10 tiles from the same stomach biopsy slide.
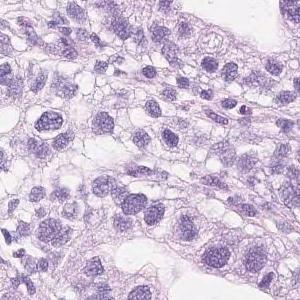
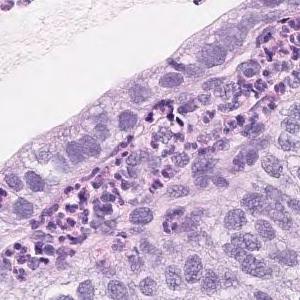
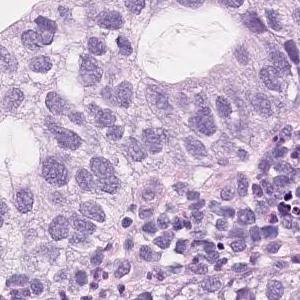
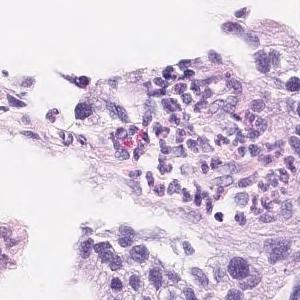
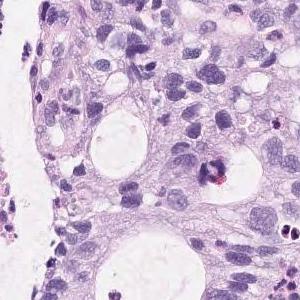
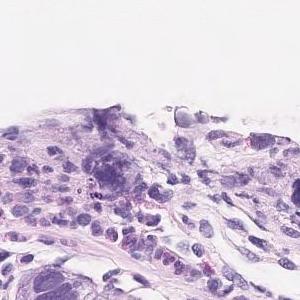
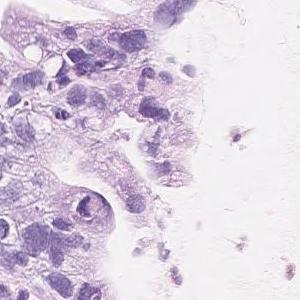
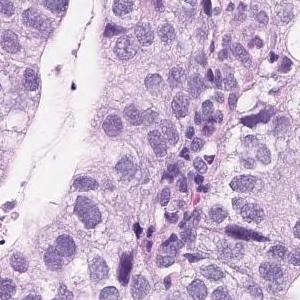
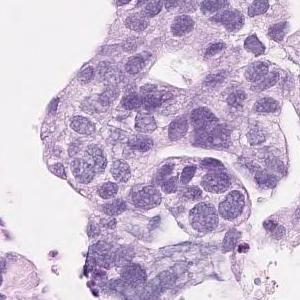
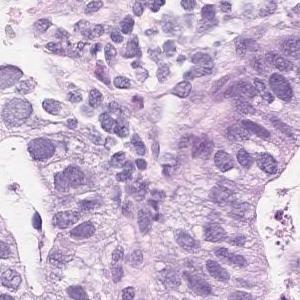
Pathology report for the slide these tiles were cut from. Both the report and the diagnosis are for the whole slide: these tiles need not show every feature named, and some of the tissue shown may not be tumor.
On the superficial epithelium, tumor tissue consisting of large, irregular glandular ducts partially fused and infiltrated is observed. Well to moderately differentiated tubular adenocarcinoma (well differentiated tubular adenocarcinoma, moderately differentiated tubular adenocarcinoma)
Classified as well to moderately differentiated tubular adenocarcinoma.
